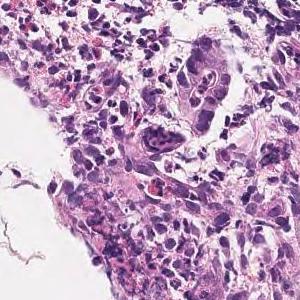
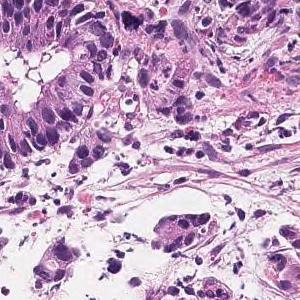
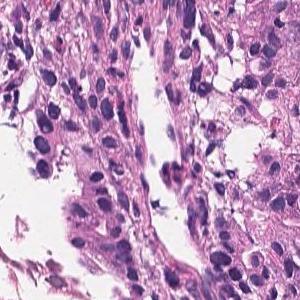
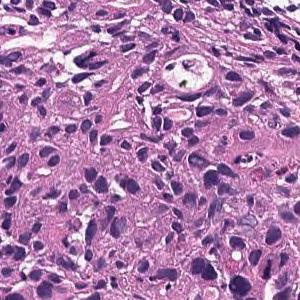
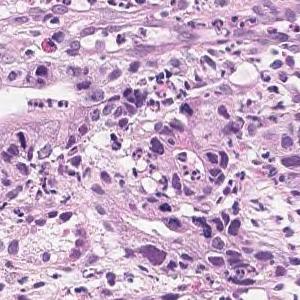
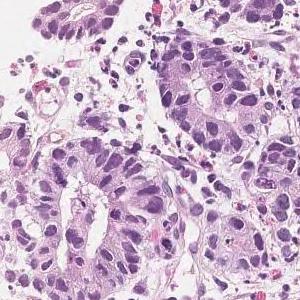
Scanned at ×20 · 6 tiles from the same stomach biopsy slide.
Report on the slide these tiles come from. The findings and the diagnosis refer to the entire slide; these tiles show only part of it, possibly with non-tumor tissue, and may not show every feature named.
Tumor tissue that grows by forming glandular cavities from the superficial layer to the submucosa is observed. Well differentiated tubular adenocarcinoma
